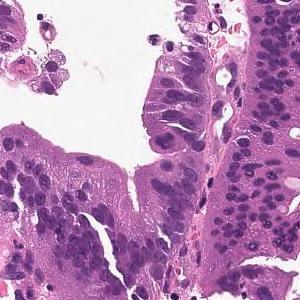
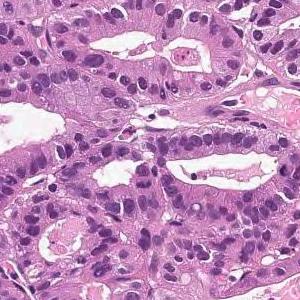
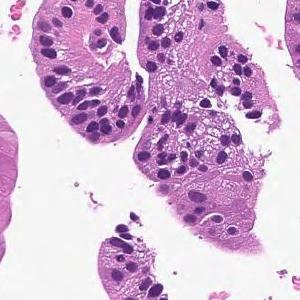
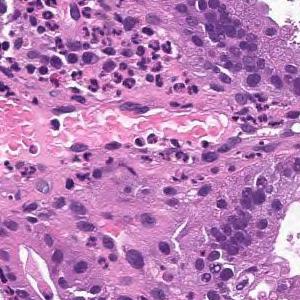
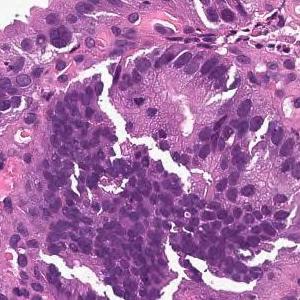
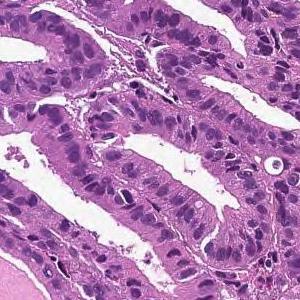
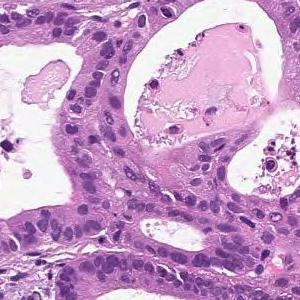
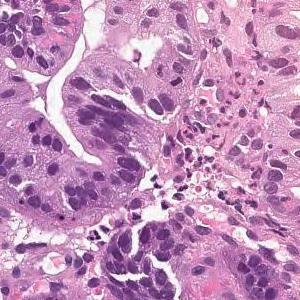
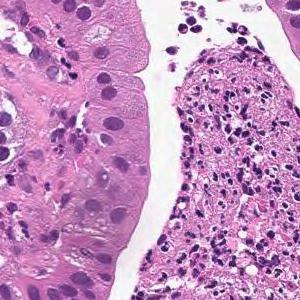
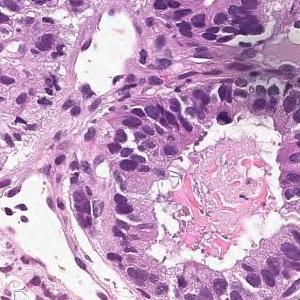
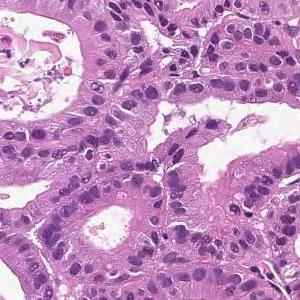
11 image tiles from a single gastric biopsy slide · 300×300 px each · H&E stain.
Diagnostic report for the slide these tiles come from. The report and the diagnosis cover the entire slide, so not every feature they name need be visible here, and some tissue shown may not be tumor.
From the superficial epithelium to the muscularis mucosae, tumor tissue consisting of medium-sized and irregular glandular ducts infiltrating is observed. Well differentiated tubular adenocarcinoma
